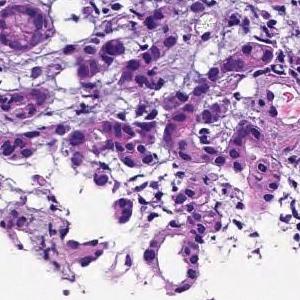
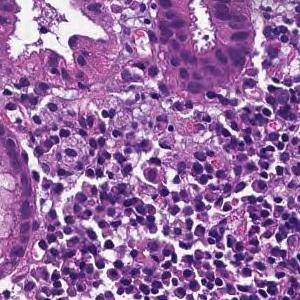
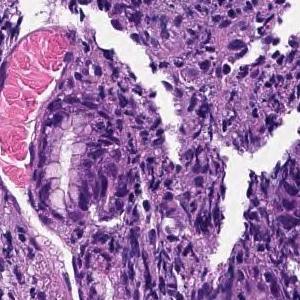
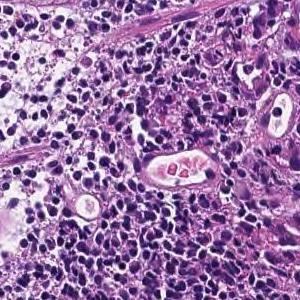
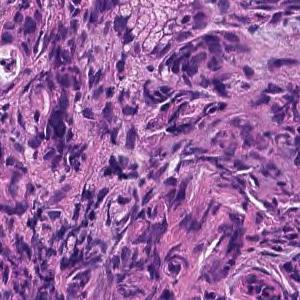
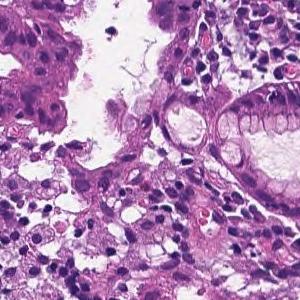
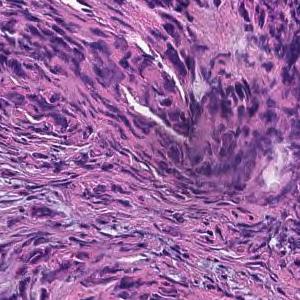
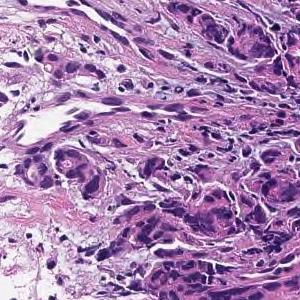
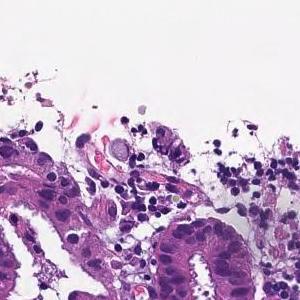
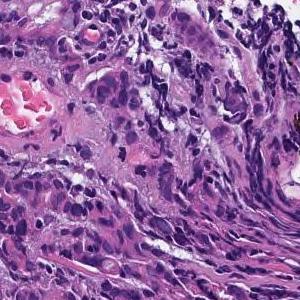
10 image tiles from a single gastric biopsy slide, each 300 × 300 pixels, H&E.
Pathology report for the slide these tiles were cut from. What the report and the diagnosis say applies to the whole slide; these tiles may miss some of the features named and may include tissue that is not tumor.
Tumor tissue consisting of medium-sized, cord-like or irregular glandular infiltration is observed in the superficial epithelium. Poorly differentiated adenocarcinoma, non-solid type or moderately differentiated tubular adenocarcinoma
Tumor subtype: moderately to poorly differentiated adenocarcinoma.
The non-solid type named here is a Japanese Classification of Gastric Carcinoma category.
